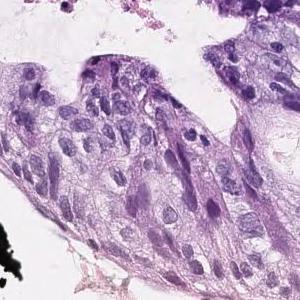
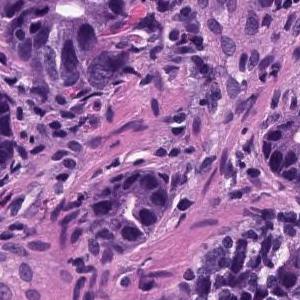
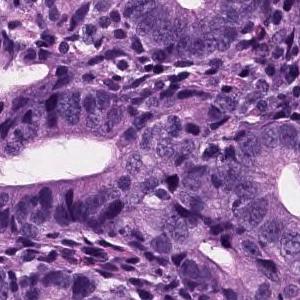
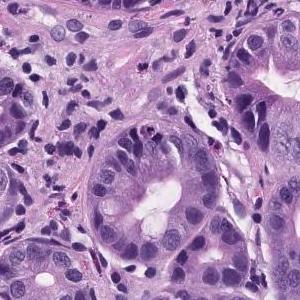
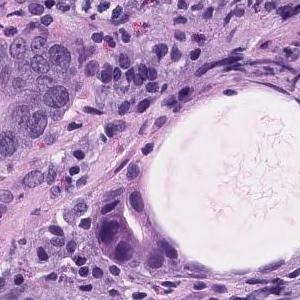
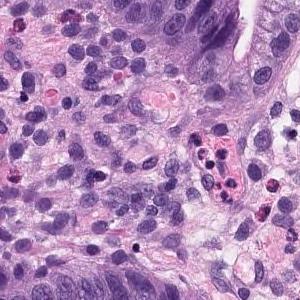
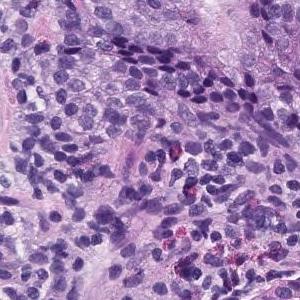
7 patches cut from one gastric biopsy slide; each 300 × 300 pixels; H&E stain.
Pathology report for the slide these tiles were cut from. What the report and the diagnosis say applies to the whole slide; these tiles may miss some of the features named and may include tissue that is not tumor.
Tumor tissue consisting of medium-sized and irregular ducts is observed infiltrating in the superficial epithelium. Tumor cells are highly columnar, with nuclei aligned basolaterally and polarized. Well differentiated tubular adenocarcinoma.
